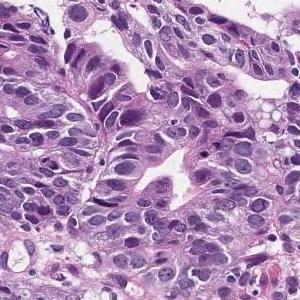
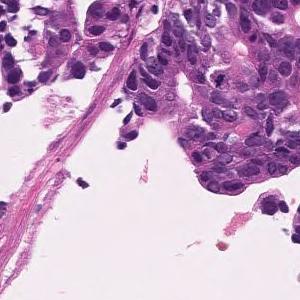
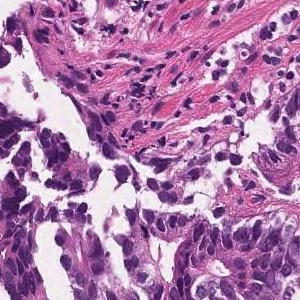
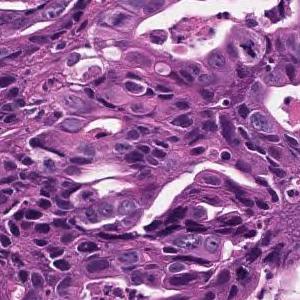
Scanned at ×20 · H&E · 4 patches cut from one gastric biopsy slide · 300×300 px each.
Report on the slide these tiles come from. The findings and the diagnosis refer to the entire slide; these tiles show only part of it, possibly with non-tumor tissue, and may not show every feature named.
In the superficial epithelium, tumor tissue that invades by forming medium-sized to small, irregular ducts is observed. moderately differentiated tubular adenocarcinoma.
